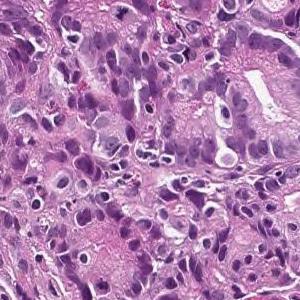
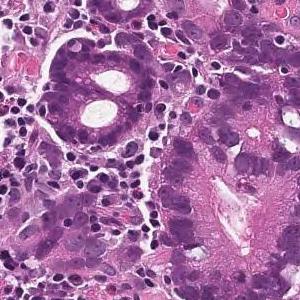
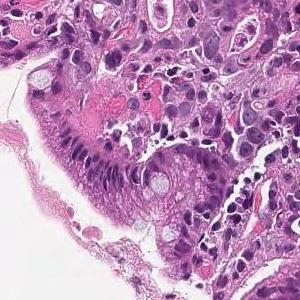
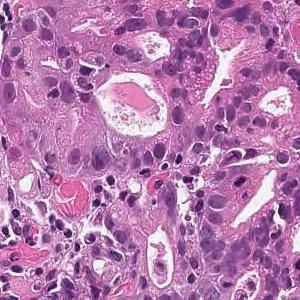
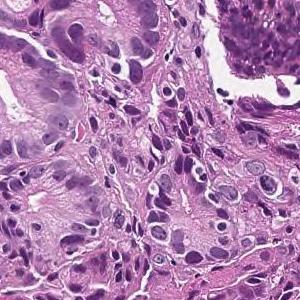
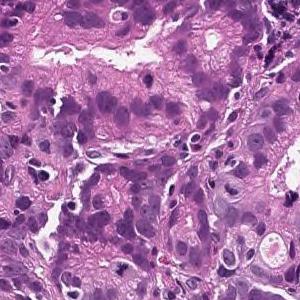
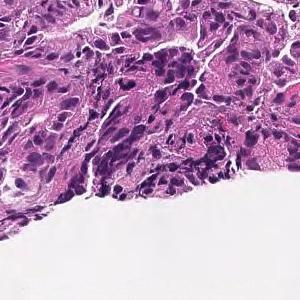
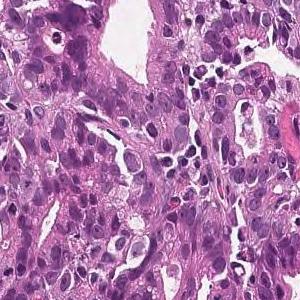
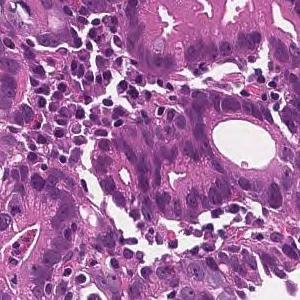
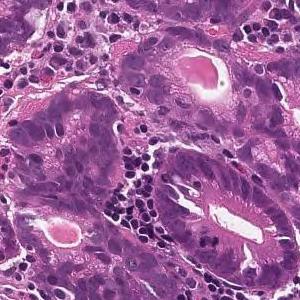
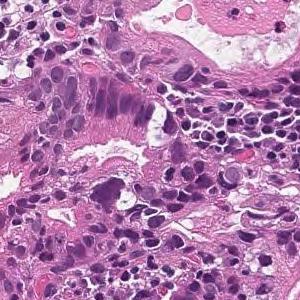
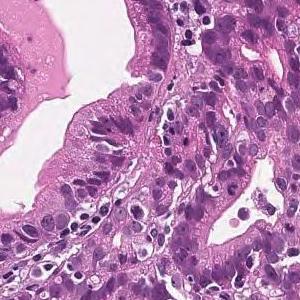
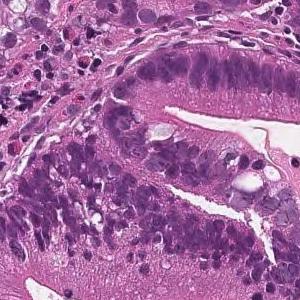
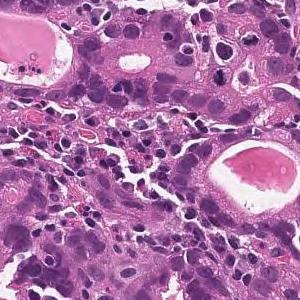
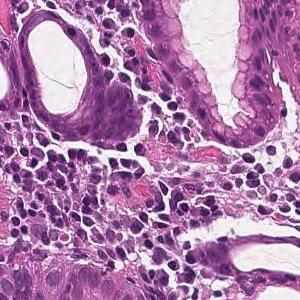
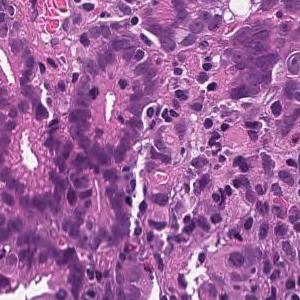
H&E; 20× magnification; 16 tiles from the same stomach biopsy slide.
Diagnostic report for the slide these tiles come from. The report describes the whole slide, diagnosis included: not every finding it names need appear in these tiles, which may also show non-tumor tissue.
From the superficial epithelium to the muscularis mucosae, tumor tissue consisting of medium-sized and irregular glandular ducts infiltrating is observed. Well differentiated tubular adenocarcinoma
